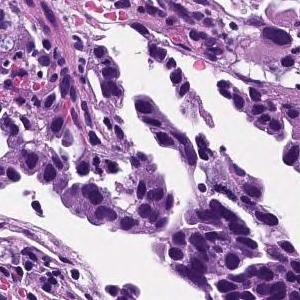
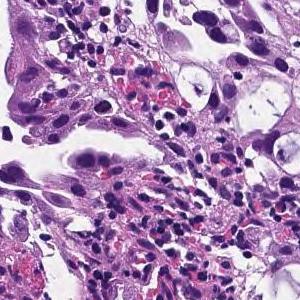
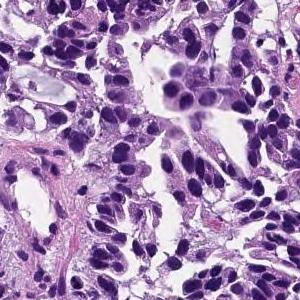
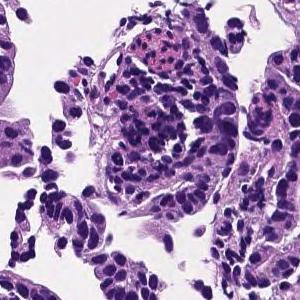
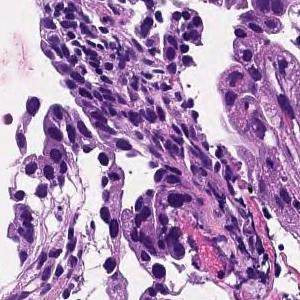
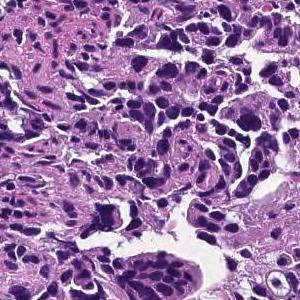
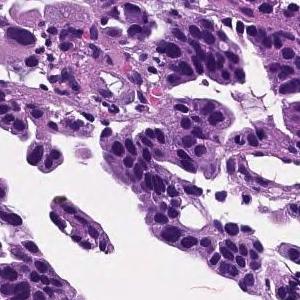
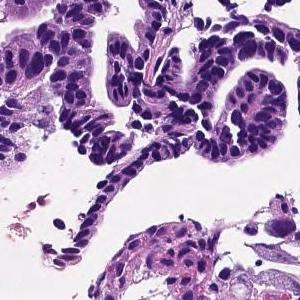
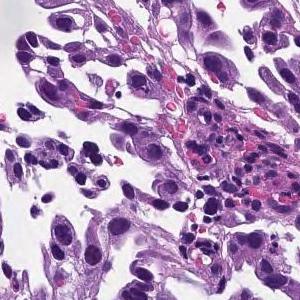
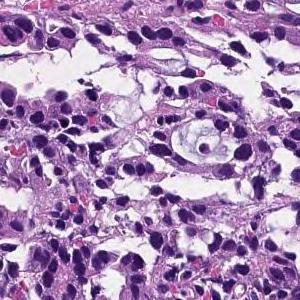
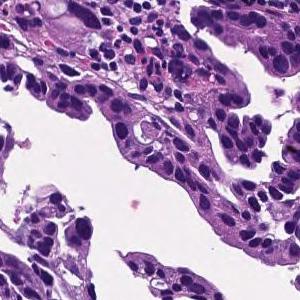
11 tiles cut from one stomach biopsy slide; 20× magnification; H&E.
Report on the slide these tiles come from. The report and the diagnosis describe the slide as a whole, so these tiles may not show every feature named and may include non-tumor tissue.
Tumor tissue consisting of medium-sized, cord-like or irregular glandular infiltration is observed in the superficial epithelium. Poorly differentiated adenocarcinoma, non-solid type or moderately differentiated tubular adenocarcinoma
Histological subtype: Moderately to poorly differentiated adenocarcinoma.
"Non-solid type" is a category of the Japanese Classification of Gastric Carcinoma.
